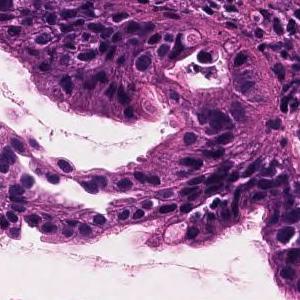
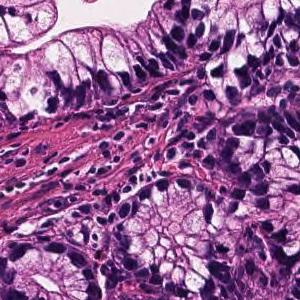
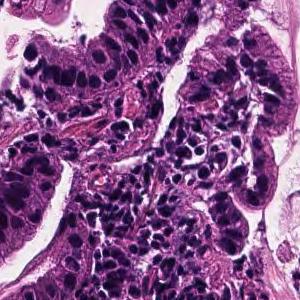
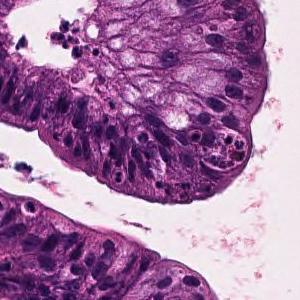
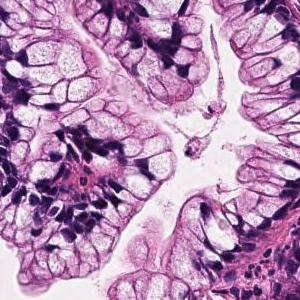
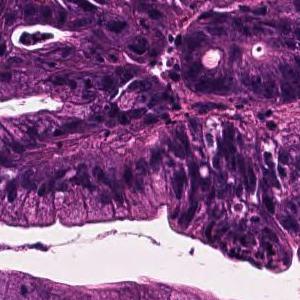
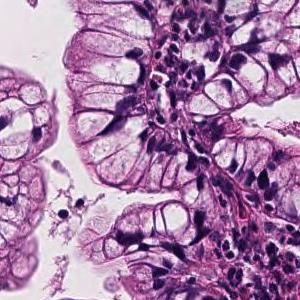
7 tiles cut from one stomach biopsy slide · H&E stain.
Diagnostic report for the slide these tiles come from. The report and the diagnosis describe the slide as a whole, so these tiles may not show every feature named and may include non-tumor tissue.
Tumor cells are large, highly columnar, large club-shaped nuclei, and are associated with chromatin aggregation. Papillary adenocarcinoma.
